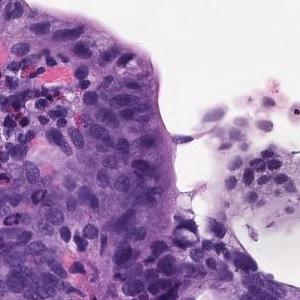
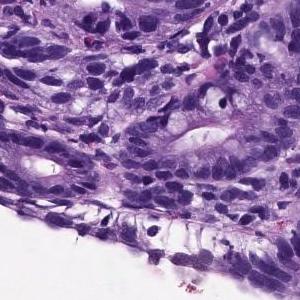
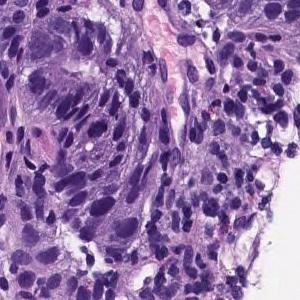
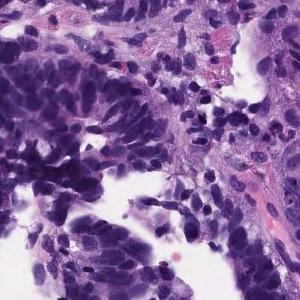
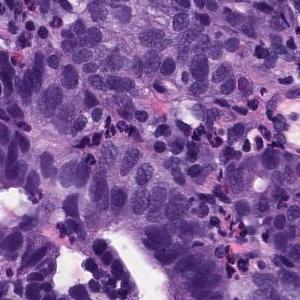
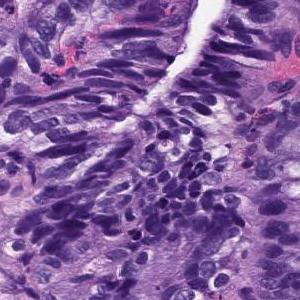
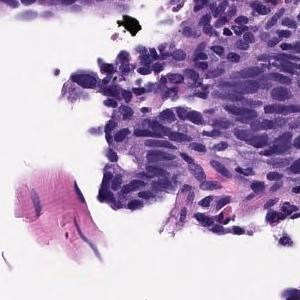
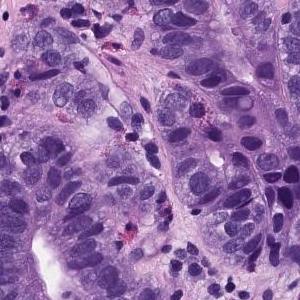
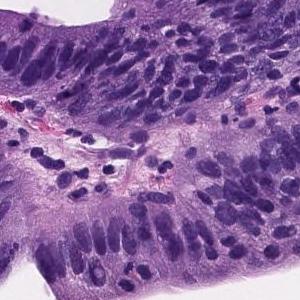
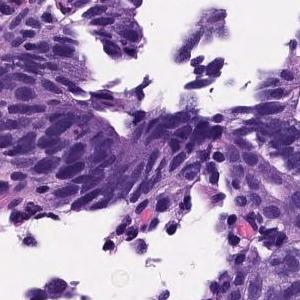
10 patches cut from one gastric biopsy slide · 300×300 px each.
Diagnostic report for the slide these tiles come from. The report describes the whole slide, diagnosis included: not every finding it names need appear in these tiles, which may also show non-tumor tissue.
Atypical epithelial cells are proliferating to replace the foveolar epithelium is observed. Well differentiated tubular adenocarcinoma.
